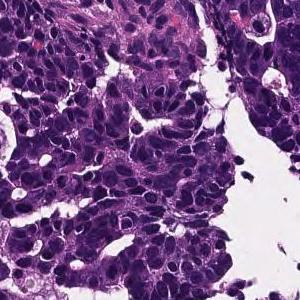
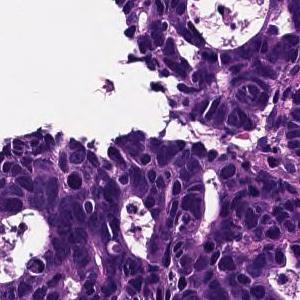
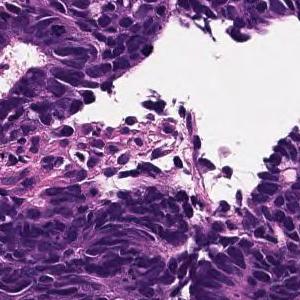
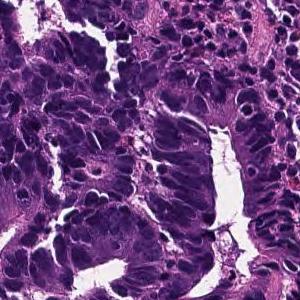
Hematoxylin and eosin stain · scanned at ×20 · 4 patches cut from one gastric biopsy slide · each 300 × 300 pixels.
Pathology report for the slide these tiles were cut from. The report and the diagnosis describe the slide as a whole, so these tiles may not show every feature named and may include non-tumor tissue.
In the superficial epithelium, tumor tissue that invades by forming medium-sized to small, irregular ducts is observed. moderately differentiated tubular adenocarcinoma.
